7 image tiles from a single gastric biopsy slide, each 300 × 300 pixels, H&E, 20× magnification.
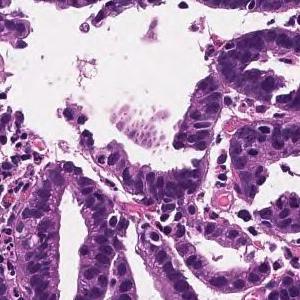
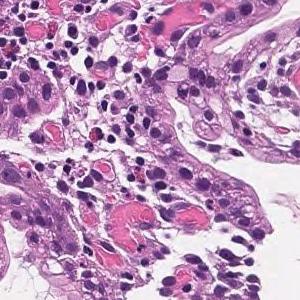
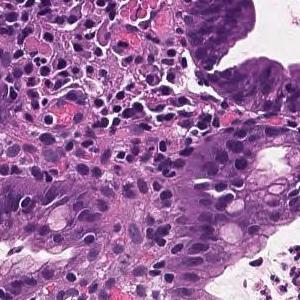
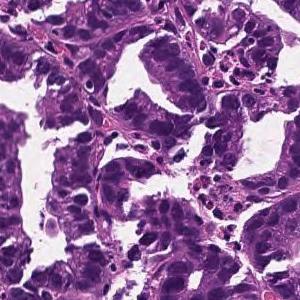
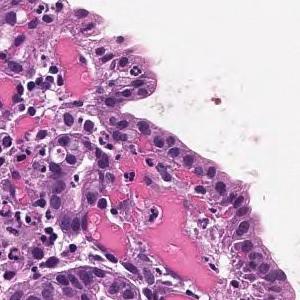
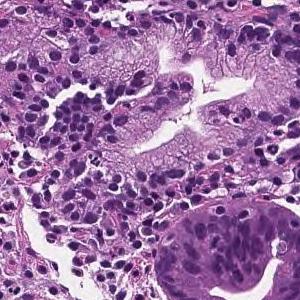
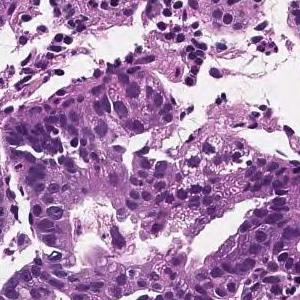
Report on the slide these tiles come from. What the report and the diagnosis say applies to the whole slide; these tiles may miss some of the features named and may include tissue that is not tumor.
On the superficial epithelium, tumor tissue consisting of medium-sized irregular or small round gland ducts showing a small cord-like shape and infiltrating is observed. Well differentiated tubular adenocarcinoma or Poorly differentiated adenocarcinoma, non-solid type
The dataset labels this slide well differentiated tubular adenocarcinoma.
"Non-solid type" is a category of the Japanese Classification of Gastric Carcinoma.
